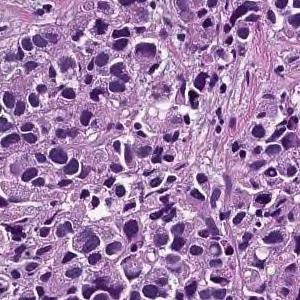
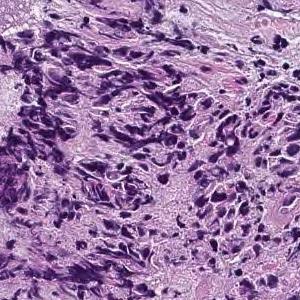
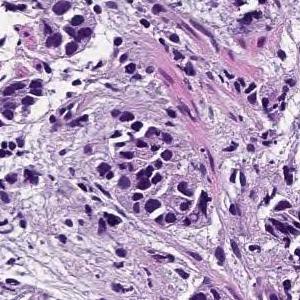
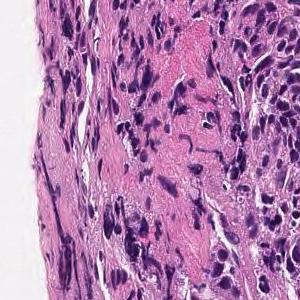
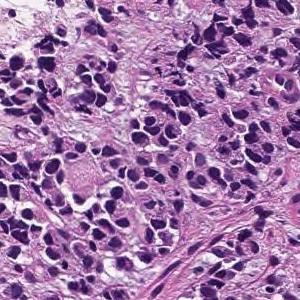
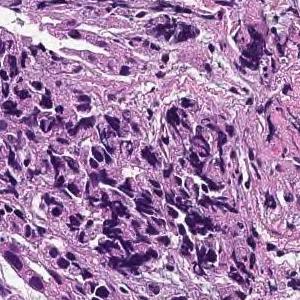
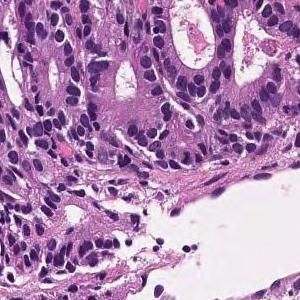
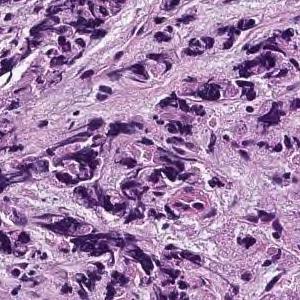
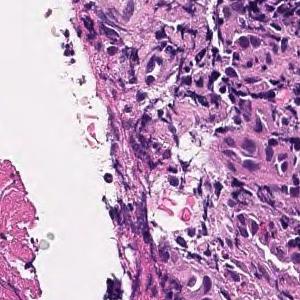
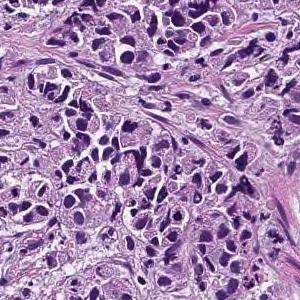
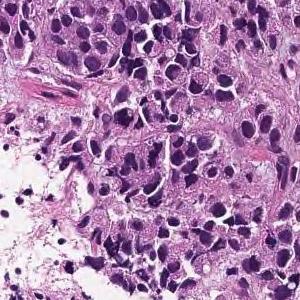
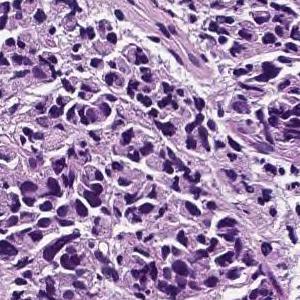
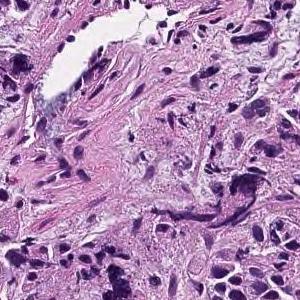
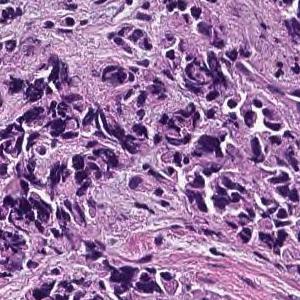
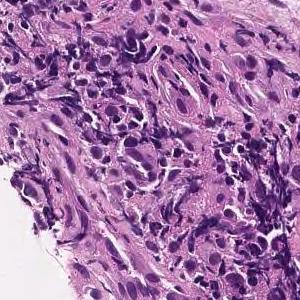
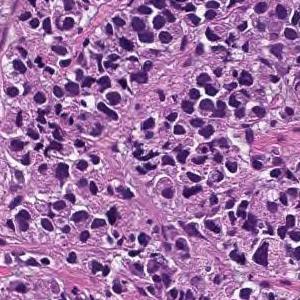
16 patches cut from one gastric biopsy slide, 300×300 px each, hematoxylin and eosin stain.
The pathologist's report on the biopsy slide these tiles were taken from. The report and the diagnosis describe the slide as a whole, so these tiles may not show every feature named and may include non-tumor tissue.
The lamina propria shows small cord-like tumor tissue that infiltrates with fibrosis and marked chronic inflammatory cell infiltration. Poorly differentiated adenocarcinoma, non-solid type
"Non-solid type" is a category of the Japanese Classification of Gastric Carcinoma.
